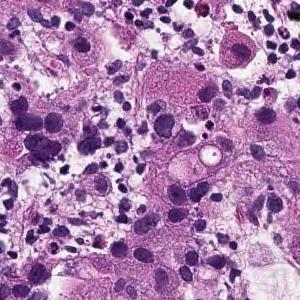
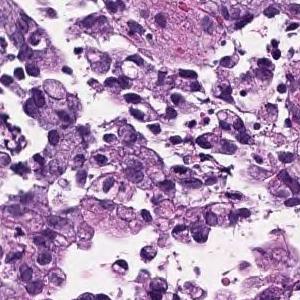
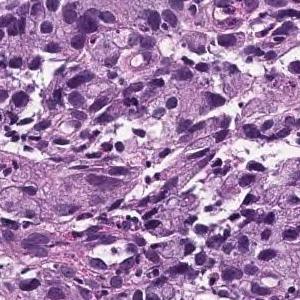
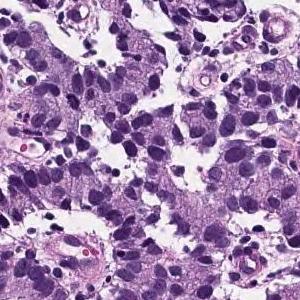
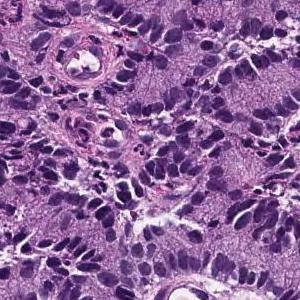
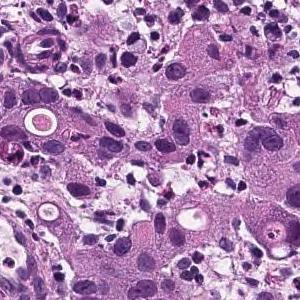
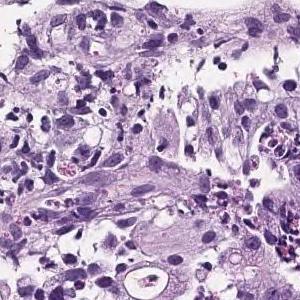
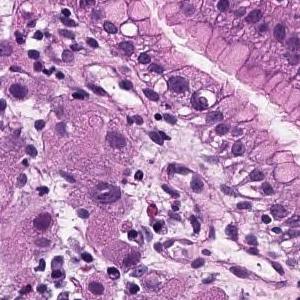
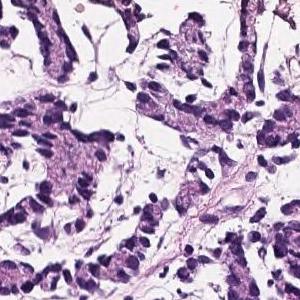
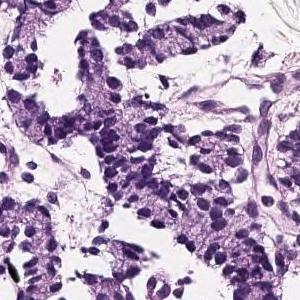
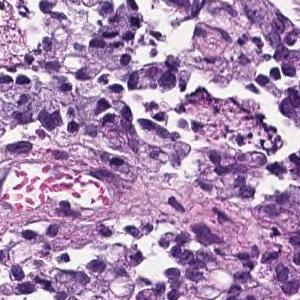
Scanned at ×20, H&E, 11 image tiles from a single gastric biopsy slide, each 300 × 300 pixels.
Pathology report for the biopsy slide these tiles were cut from. What the report and the diagnosis say applies to the whole slide; these tiles may miss some of the features named and may include tissue that is not tumor.
Tumor tissue infiltrated by irregular fusion of small cord-like structures is found in the superficial epithelium. Poorly differentiated adenocarcinoma, non-solid type
The non-solid type named here is a Japanese Classification of Gastric Carcinoma category.
